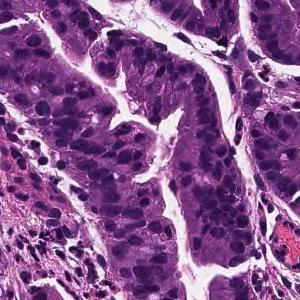
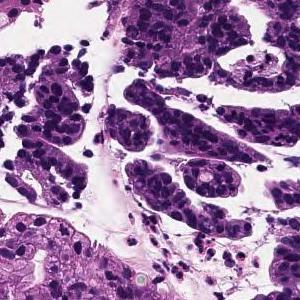
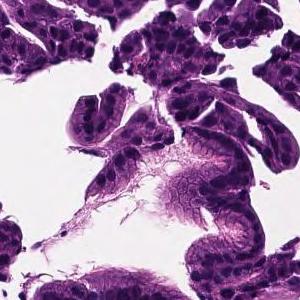
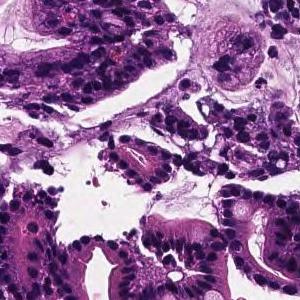
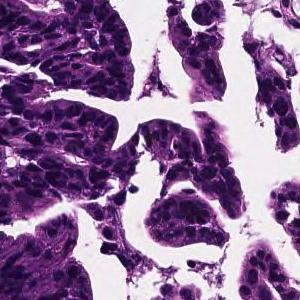
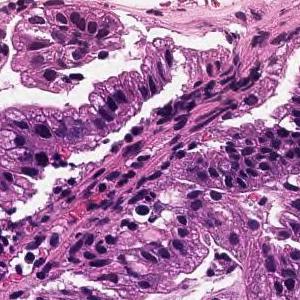
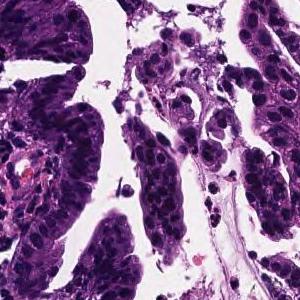
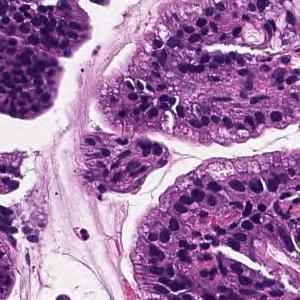
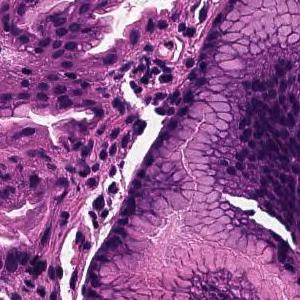
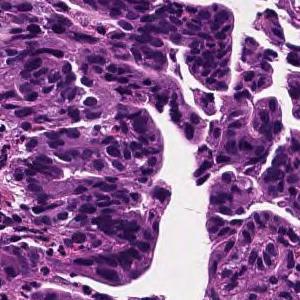
10 tiles cut from one stomach biopsy slide; hematoxylin and eosin stain.
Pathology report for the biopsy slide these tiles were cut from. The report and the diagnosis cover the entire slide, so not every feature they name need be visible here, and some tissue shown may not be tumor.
On the superficial epithelium, tumor tissue that infiltrates by forming medium-sized papillary or small irregular ducts is observed. Papillary adenocarcinoma
